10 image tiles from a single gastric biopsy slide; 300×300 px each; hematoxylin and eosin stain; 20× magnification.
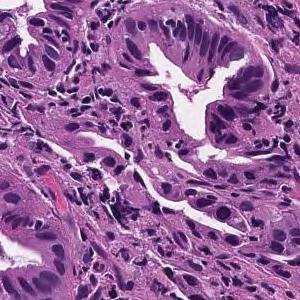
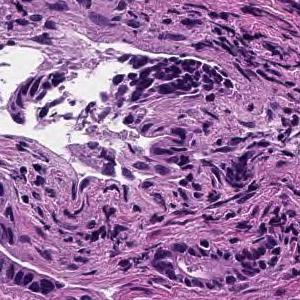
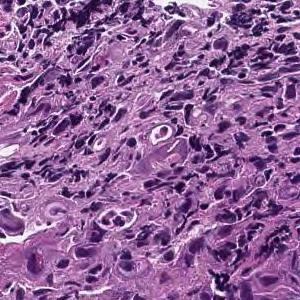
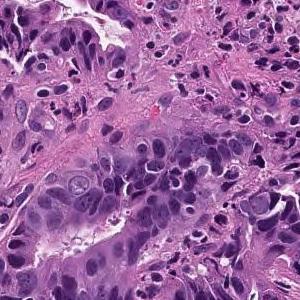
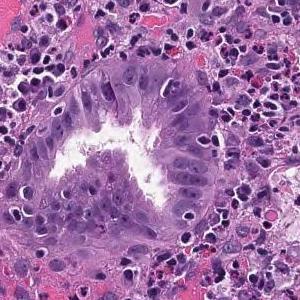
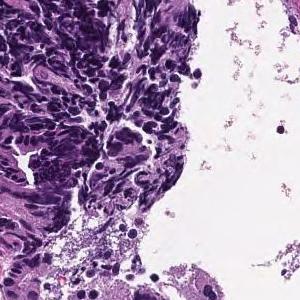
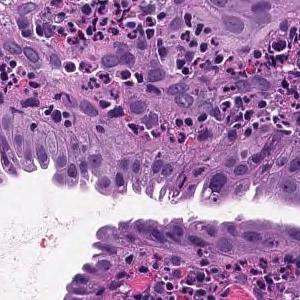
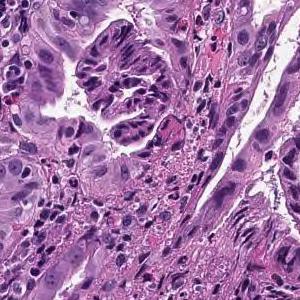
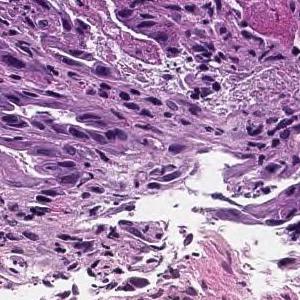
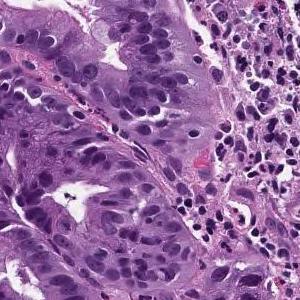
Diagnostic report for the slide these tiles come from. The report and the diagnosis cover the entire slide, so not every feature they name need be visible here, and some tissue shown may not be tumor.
On the superficial epithelium, tumor tissue consisting of large, irregular glandular ducts partially fused and infiltrated is observed. Well to moderately differentiated tubular adenocarcinoma (well differentiated tubular adenocarcinoma, moderately differentiated tubular adenocarcinoma)
Tumor subtype: well to moderately differentiated tubular adenocarcinoma.
